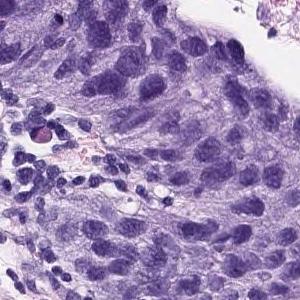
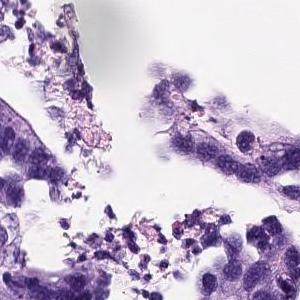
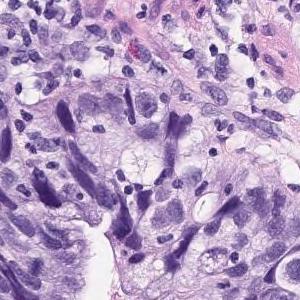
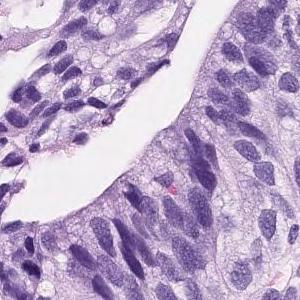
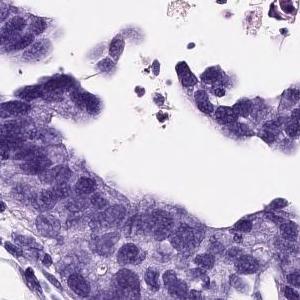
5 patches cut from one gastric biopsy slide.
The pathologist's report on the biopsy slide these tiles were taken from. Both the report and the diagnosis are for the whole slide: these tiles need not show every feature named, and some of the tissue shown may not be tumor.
On the superficial epithelium, tumor tissue consisting of medium to small irregular tubules partially fused and proliferated is observed. moderately differentiated tubular adenocarcinoma
